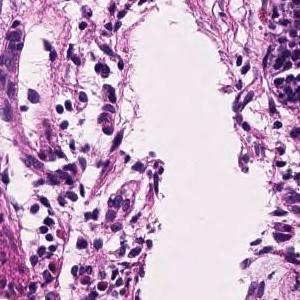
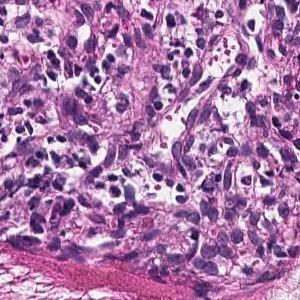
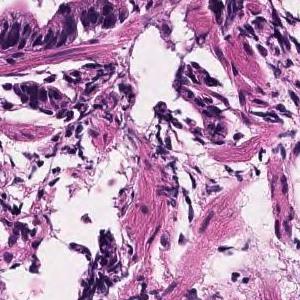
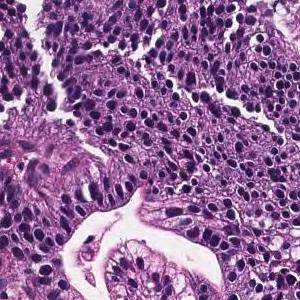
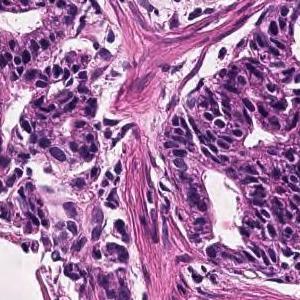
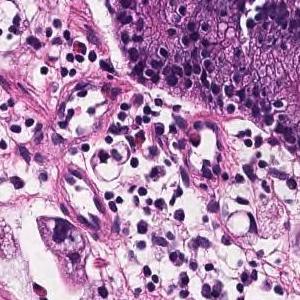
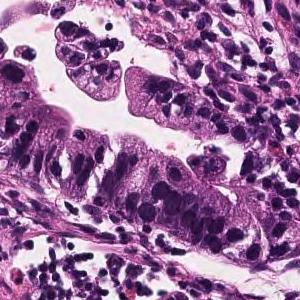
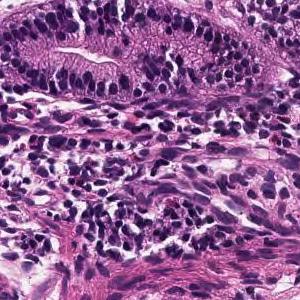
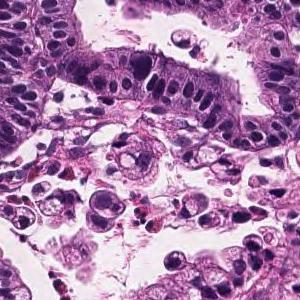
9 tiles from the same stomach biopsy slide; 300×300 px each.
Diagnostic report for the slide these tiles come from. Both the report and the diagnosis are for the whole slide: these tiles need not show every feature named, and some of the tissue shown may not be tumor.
Tumor tissue consisting of large papillary structures or irregular glandular ducts partially fused and infiltrated is observed in the superficial epithelium. Well to moderately differentiated tubular adenocarcinoma.
Dataset label: moderately differentiated tubular adenocarcinoma.
